4 patches cut from one gastric biopsy slide, 300×300 px each, H&E.
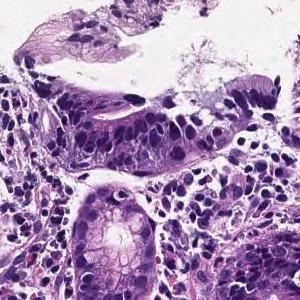
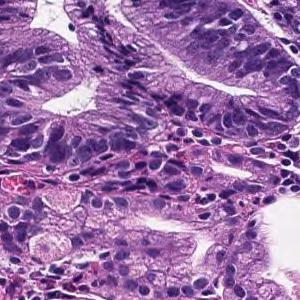
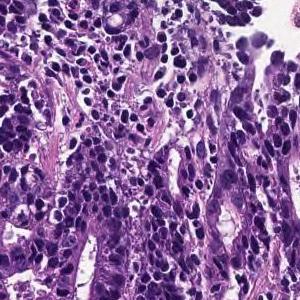
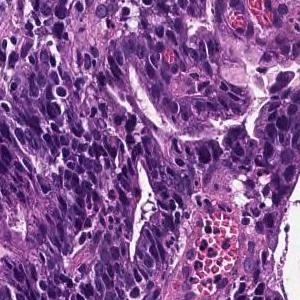
The pathologist's report on the biopsy slide these tiles were taken from. The report and the diagnosis describe the slide as a whole, so these tiles may not show every feature named and may include non-tumor tissue.
From the superficial epithelium to the muscularis mucosae, tumor tissue consisting of medium-sized and irregular glandular ducts infiltrating is observed. Well differentiated tubular adenocarcinoma
